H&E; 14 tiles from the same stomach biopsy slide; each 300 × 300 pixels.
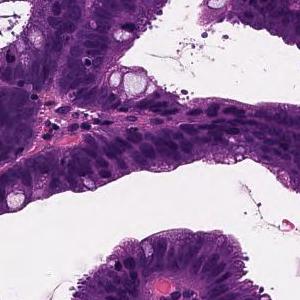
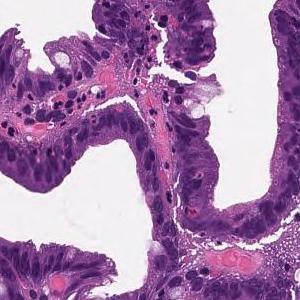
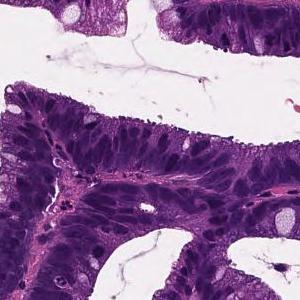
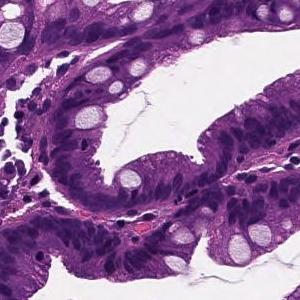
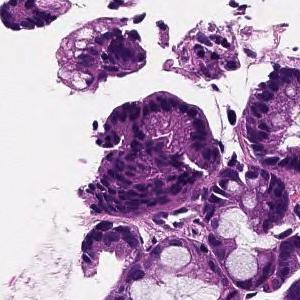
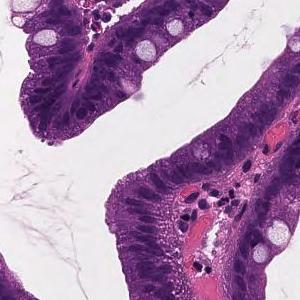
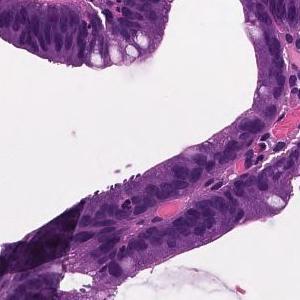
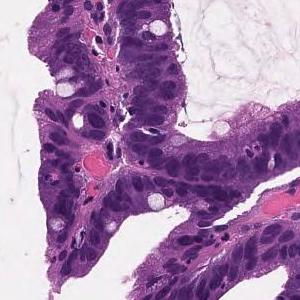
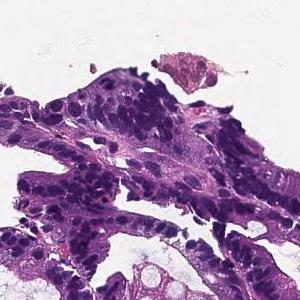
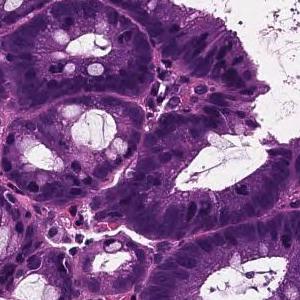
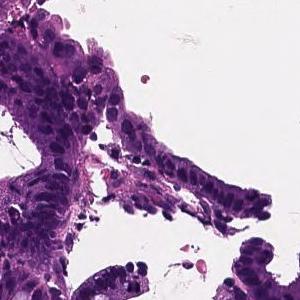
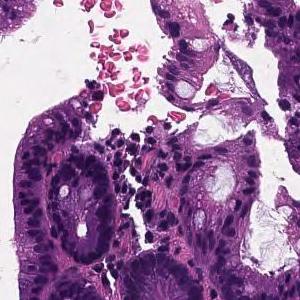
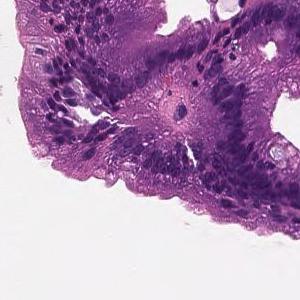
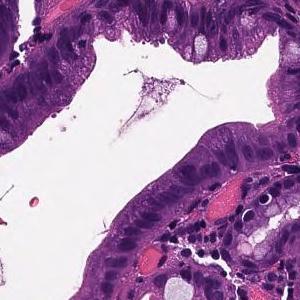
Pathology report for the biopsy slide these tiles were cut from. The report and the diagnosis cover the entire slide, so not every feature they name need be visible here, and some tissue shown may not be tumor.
moderately differentiated tubular adenocarcinoma infiltrates in the submucosa massively.
Histological subtype: Moderately differentiated tubular adenocarcinoma.
